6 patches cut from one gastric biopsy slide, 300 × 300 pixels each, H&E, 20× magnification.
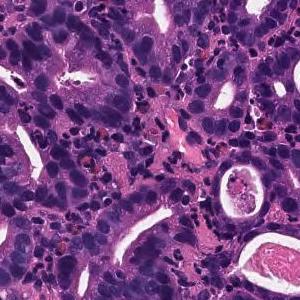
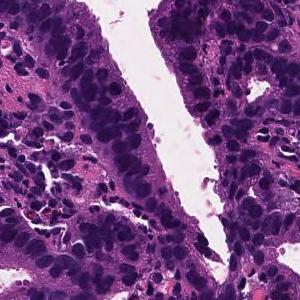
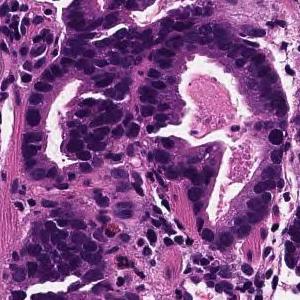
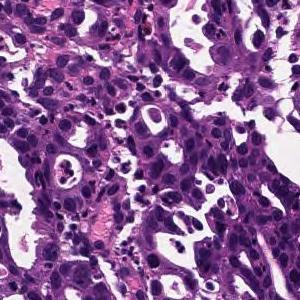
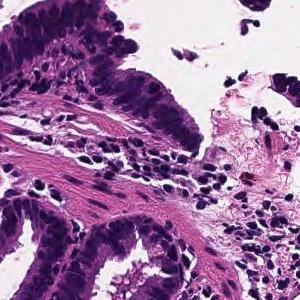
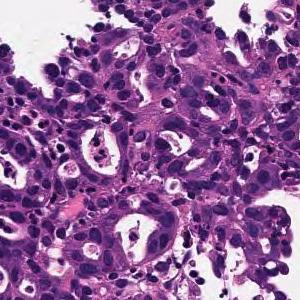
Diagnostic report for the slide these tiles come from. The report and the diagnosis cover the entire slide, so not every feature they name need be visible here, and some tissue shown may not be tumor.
On the superficial epithelium, tumor tissue is found in which medium-sized irregular gland ducts fuse with each other and infiltrate. moderately differentiated tubular adenocarcinoma
